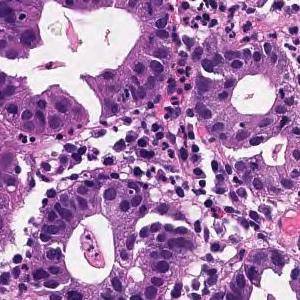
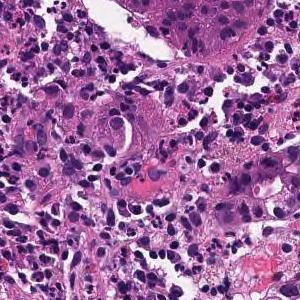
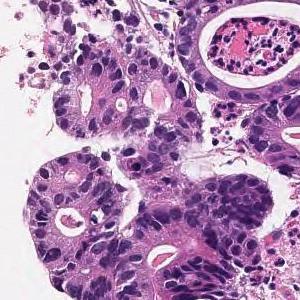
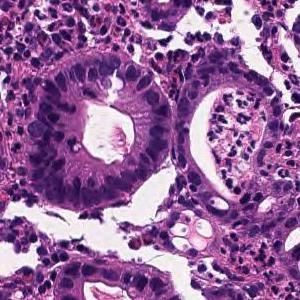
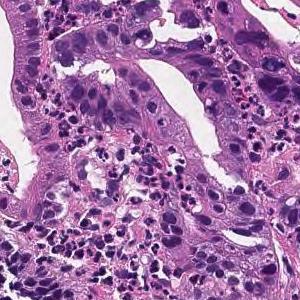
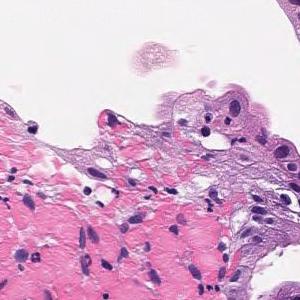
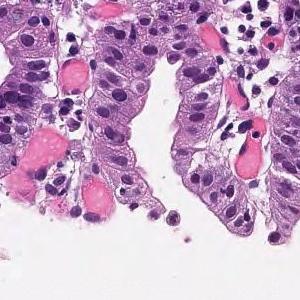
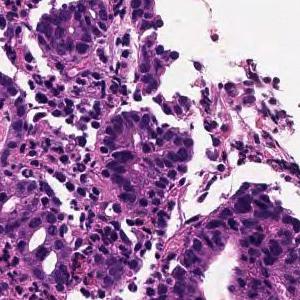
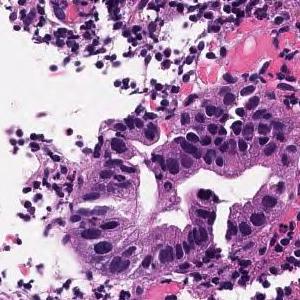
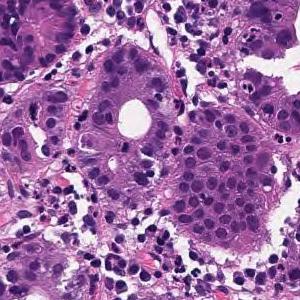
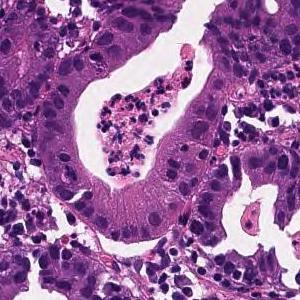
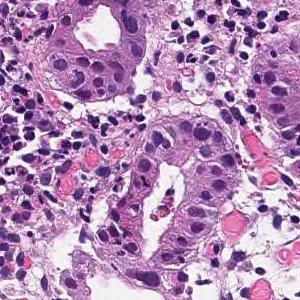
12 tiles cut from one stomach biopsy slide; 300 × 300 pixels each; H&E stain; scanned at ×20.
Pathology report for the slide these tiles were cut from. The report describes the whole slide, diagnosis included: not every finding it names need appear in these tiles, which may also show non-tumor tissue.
In the superficial epithelium, tumor tissue that invades by forming medium-sized to small, irregular ducts is observed. moderately differentiated tubular adenocarcinoma.
